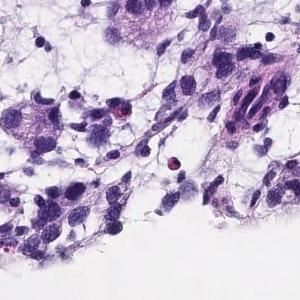
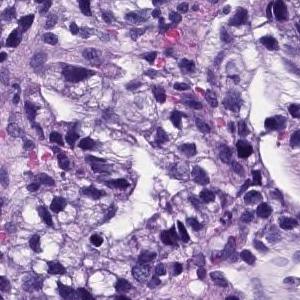
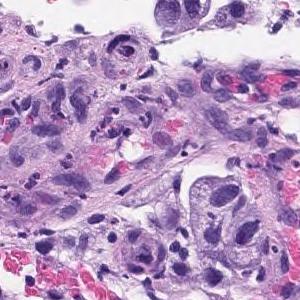
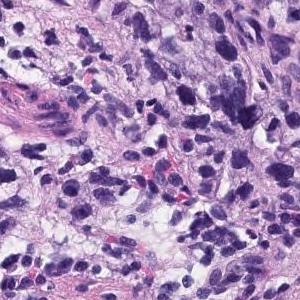
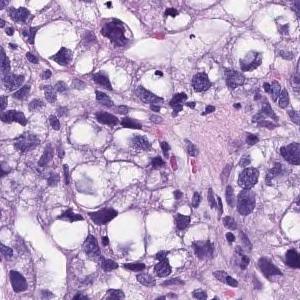
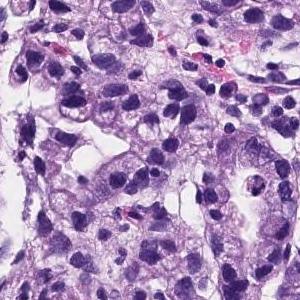
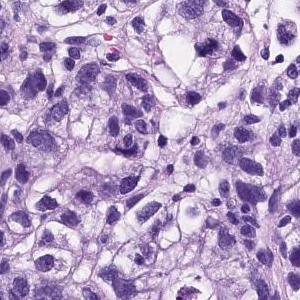
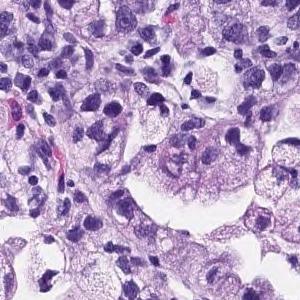
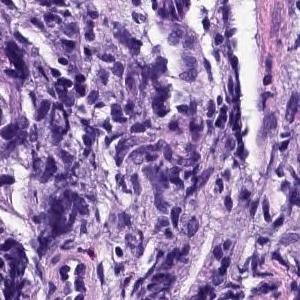
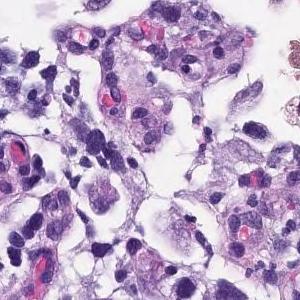
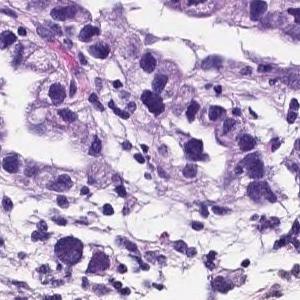
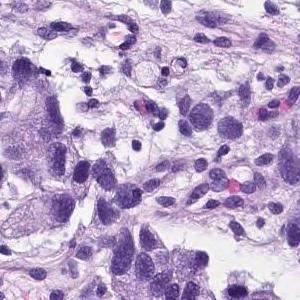
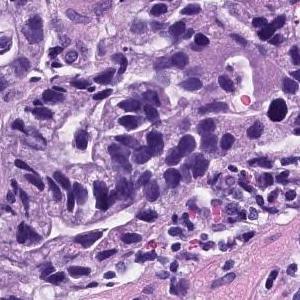
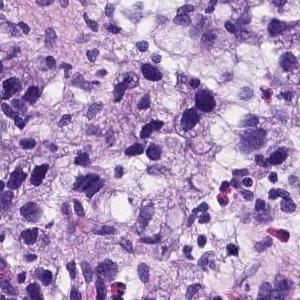
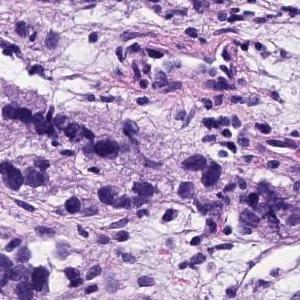
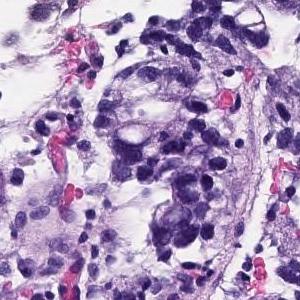
16 patches cut from one gastric biopsy slide, 300×300 px each, ×20, hematoxylin and eosin stain.
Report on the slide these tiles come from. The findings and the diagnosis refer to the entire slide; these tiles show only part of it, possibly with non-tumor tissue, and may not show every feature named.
Medium to small, irregular glandular ducts are formed in the superficial epithelium, and in some cases, the glandular ducts are fused to show solid alveolar lesions and infiltrating tumor tissue is observed. Poorly differentiated adenocarcinoma, Moderately differentiated adenocarcinoma.
Labeled in the dataset as moderately differentiated tubular adenocarcinoma.
